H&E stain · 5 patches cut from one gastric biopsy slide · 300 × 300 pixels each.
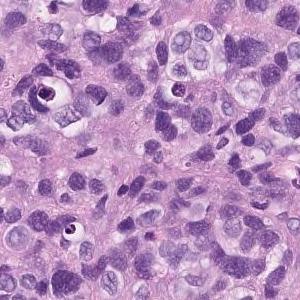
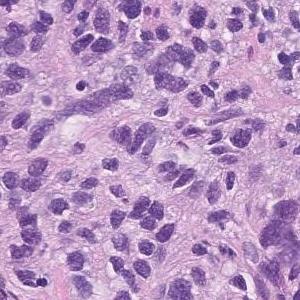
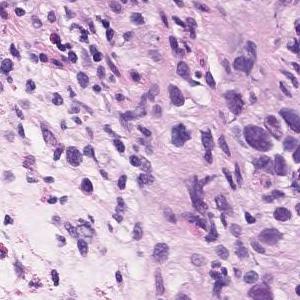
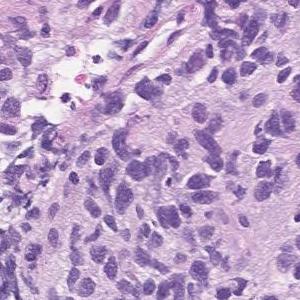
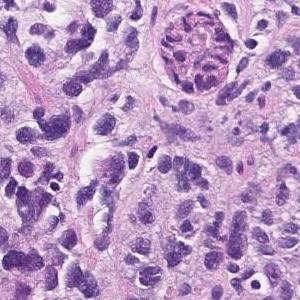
Diagnostic report for the slide these tiles come from. Both the report and the diagnosis are for the whole slide: these tiles need not show every feature named, and some of the tissue shown may not be tumor.
Atypical l cells with atypical nuclei under the mucosa growing in isolation and scattered. Poorly differentiated adenocarcinoma (poorly differentiated adenocarcinoma, non-solid type)
Classified as poorly differentiated adenocarcinoma, non-solid type.
The term "non-solid type" comes from the Japanese Classification of Gastric Carcinoma.
